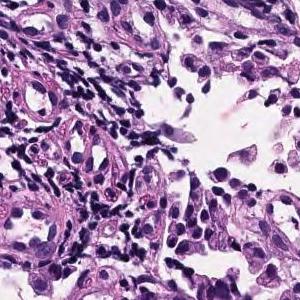
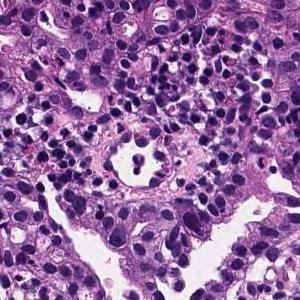
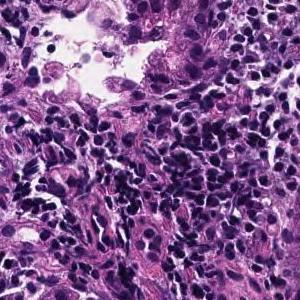
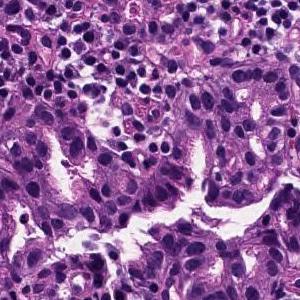
Hematoxylin and eosin stain · 20× magnification · 4 image tiles from a single gastric biopsy slide · each 300 × 300 pixels.
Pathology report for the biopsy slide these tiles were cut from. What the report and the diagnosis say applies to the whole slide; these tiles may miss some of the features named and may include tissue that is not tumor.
Medium to small, irregular glandular ducts are formed in the superficial epithelium, and in some cases, the glandular ducts are fused to show solid alveolar lesions and infiltrating tumor tissue is observed. Moderately to poorly differentiated adenocarcinoma.
